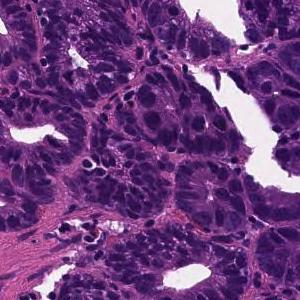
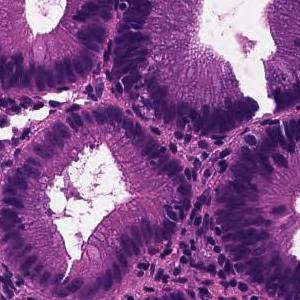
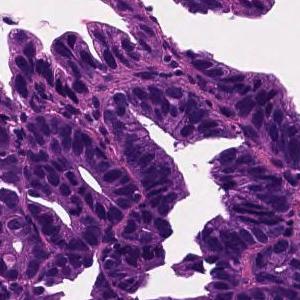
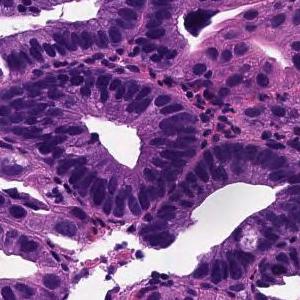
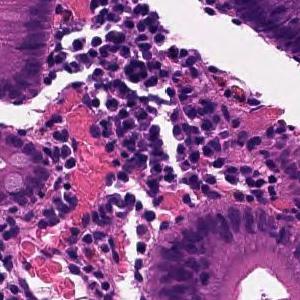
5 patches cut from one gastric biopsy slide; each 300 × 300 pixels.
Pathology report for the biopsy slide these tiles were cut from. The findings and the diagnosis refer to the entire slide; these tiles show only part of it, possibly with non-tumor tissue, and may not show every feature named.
Tumor tissue in which medium to small irregular ducts infiltrate and proliferate in the submucosa can be seen in the epithelium. Well differentiated tubular adenocarcinoma
